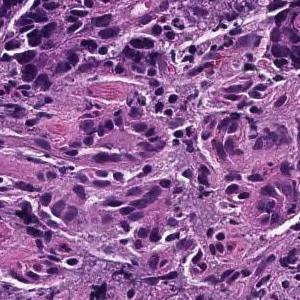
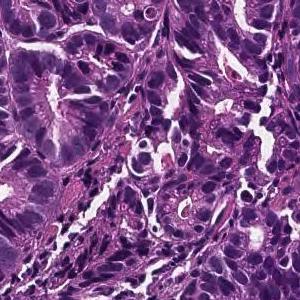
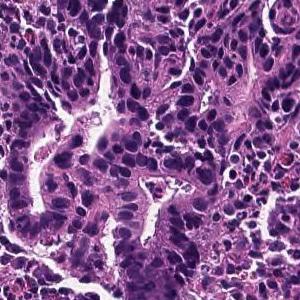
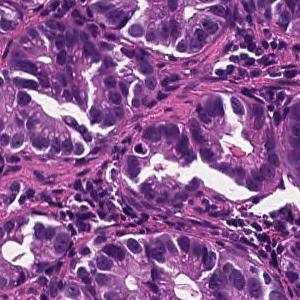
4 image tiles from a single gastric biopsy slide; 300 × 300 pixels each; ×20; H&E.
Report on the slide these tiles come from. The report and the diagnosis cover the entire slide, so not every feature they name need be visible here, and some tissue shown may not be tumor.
On the superficial epithelium, tumor tissue consisting of large irregular glandular ducts partially fused and infiltrated is observed. Well to moderately differentiated tubular adenocarcinoma (well differentiated tubular adenocarcinoma, moderately differentiated tubular adenocarcinoma)
Classified as well to moderately differentiated tubular adenocarcinoma.
